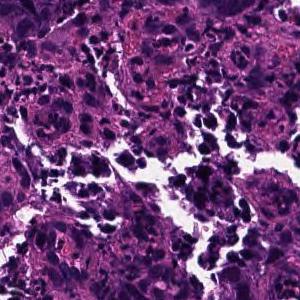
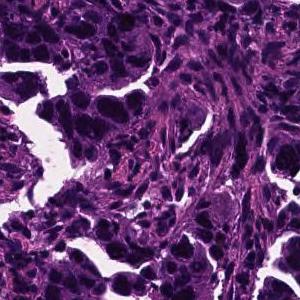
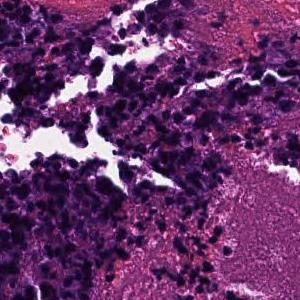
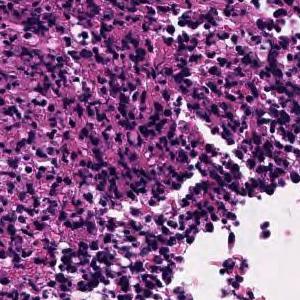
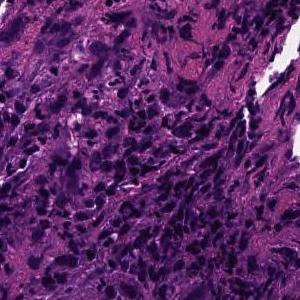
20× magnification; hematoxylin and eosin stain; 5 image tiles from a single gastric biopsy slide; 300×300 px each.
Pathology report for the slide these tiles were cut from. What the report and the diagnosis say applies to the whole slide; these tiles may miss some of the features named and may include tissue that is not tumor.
In the superficial epithelium, tumor tissue that invades by forming medium-sized to small, irregular ducts is observed. moderately differentiated tubular adenocarcinoma.
